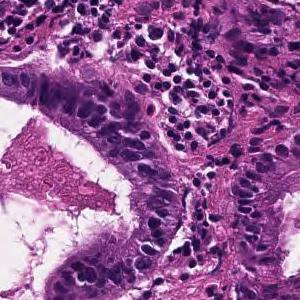
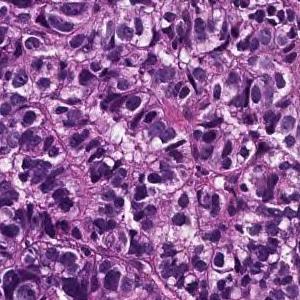
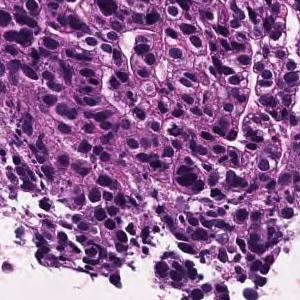
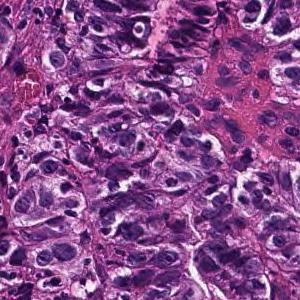
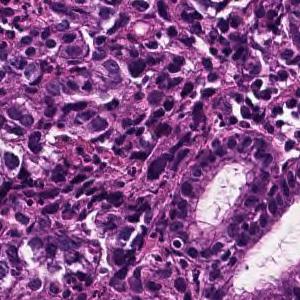
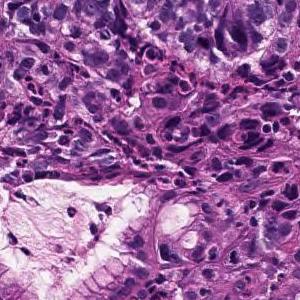
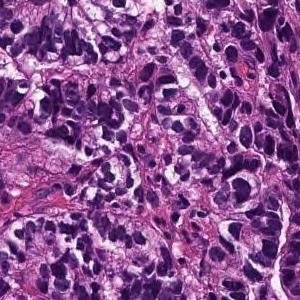
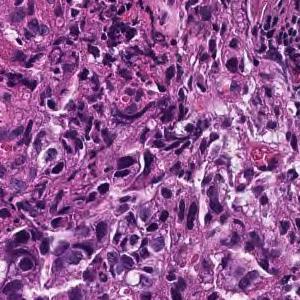
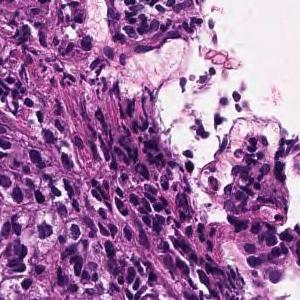
H&E; 20× magnification; 9 tiles cut from one stomach biopsy slide; 300 × 300 pixels each.
Pathology report for the slide these tiles were cut from. The findings and the diagnosis refer to the entire slide; these tiles show only part of it, possibly with non-tumor tissue, and may not show every feature named.
In the superficial epithelium, tumor tissue that invades by forming medium-sized to small, irregular ducts is observed. moderately differentiated tubular adenocarcinoma.
